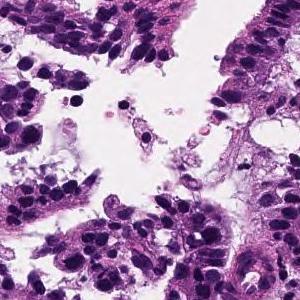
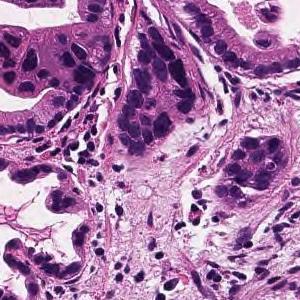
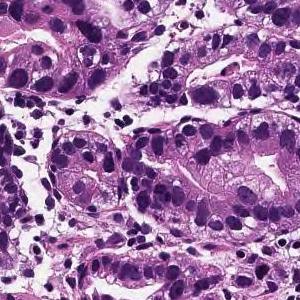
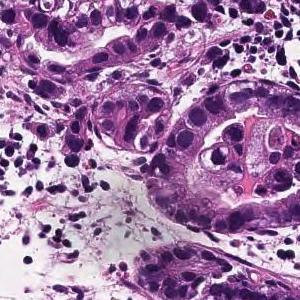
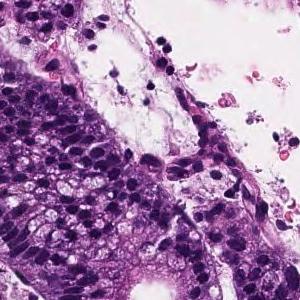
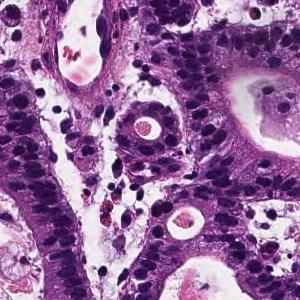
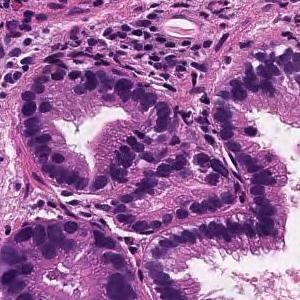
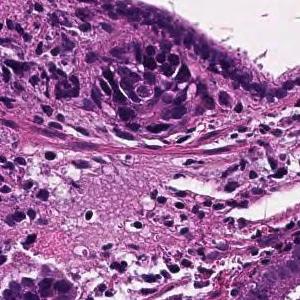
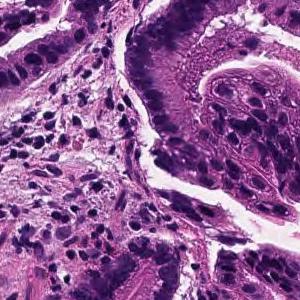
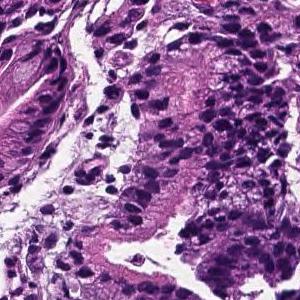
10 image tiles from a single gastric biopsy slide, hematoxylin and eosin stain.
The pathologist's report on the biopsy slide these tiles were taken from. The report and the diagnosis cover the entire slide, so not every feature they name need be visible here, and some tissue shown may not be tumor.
From the superficial epithelium to the muscularis mucosae, tumor tissue consisting of medium-sized and irregular glandular ducts infiltrating is observed. Well differentiated tubular adenocarcinoma
